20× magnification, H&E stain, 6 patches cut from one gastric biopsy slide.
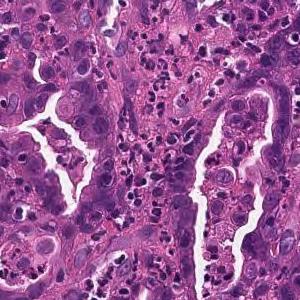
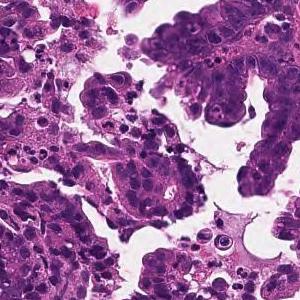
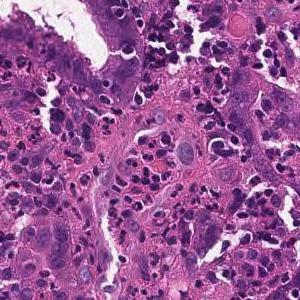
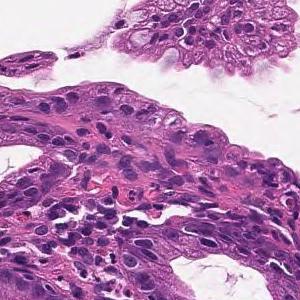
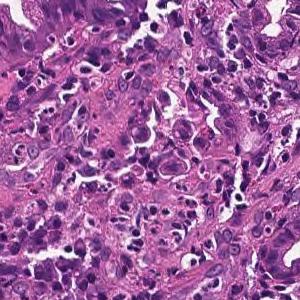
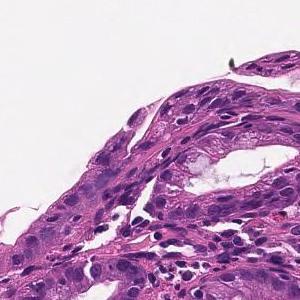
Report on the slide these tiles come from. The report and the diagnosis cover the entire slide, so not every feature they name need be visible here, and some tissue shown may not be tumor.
From the superficial epithelium to the muscularis mucosae, tumor tissue consisting of medium-sized and irregular glandular ducts infiltrating is observed. Well differentiated tubular adenocarcinoma
